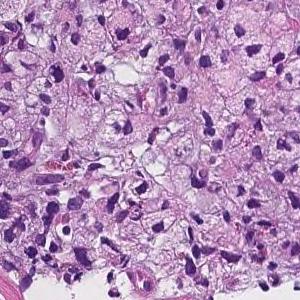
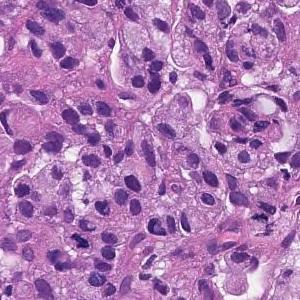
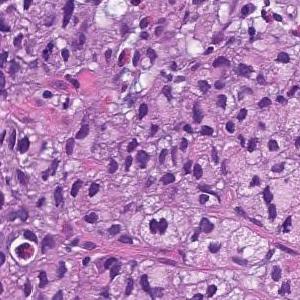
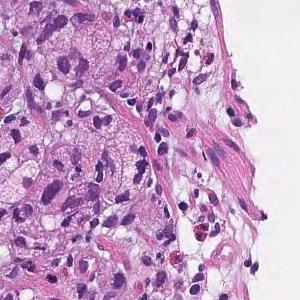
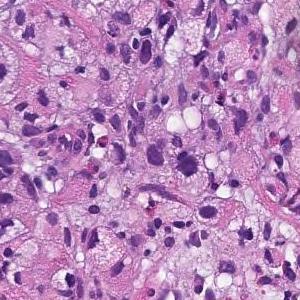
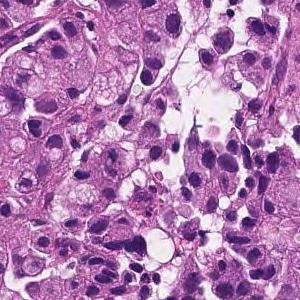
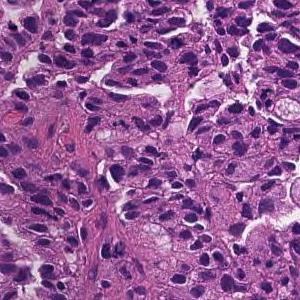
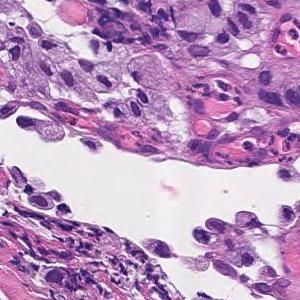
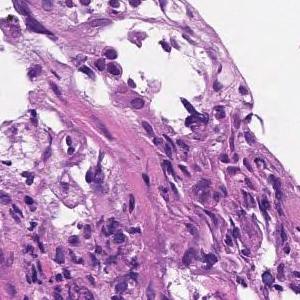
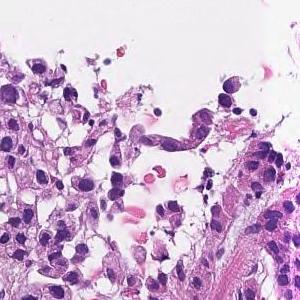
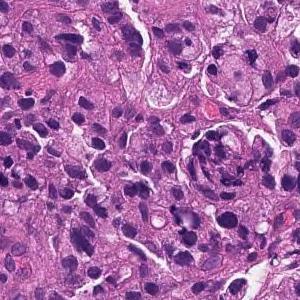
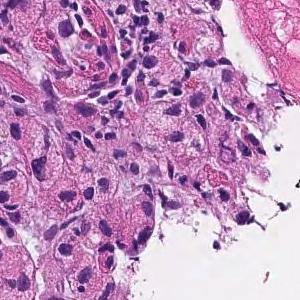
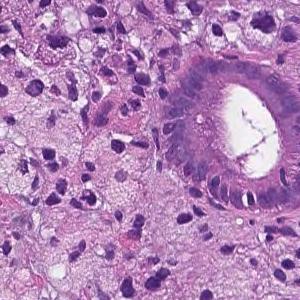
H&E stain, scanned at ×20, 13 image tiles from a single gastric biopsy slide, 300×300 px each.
Pathology report for the biopsy slide these tiles were cut from. What the report and the diagnosis say applies to the whole slide; these tiles may miss some of the features named and may include tissue that is not tumor.
In the lamina propria, a tumor tissue consisting of signet ring cell type atypical epithelial cells infiltrating is observed. Signet ring cell carcinoma.
